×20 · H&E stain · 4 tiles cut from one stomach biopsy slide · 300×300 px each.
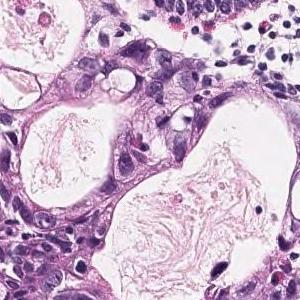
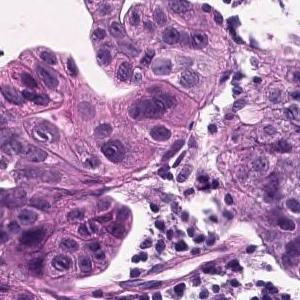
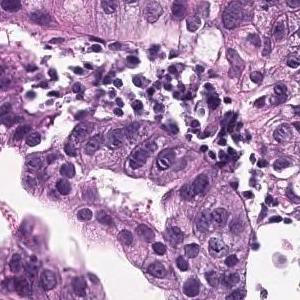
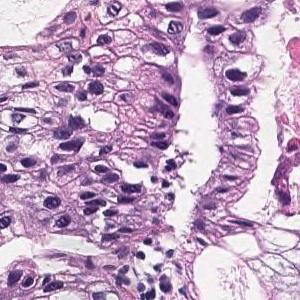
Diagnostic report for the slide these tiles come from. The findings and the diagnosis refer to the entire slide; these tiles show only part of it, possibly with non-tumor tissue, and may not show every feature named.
Tumor cells are large, highly columnar, large club-shaped nuclei, and are associated with chromatin aggregation. Papillary adenocarcinoma.
